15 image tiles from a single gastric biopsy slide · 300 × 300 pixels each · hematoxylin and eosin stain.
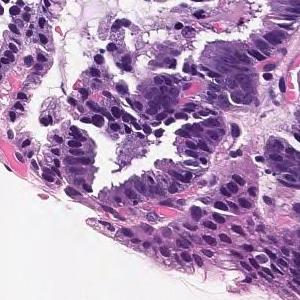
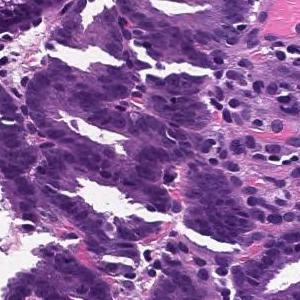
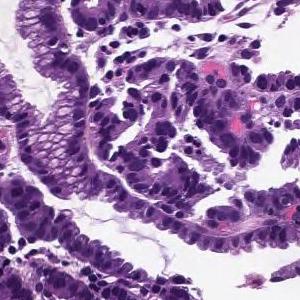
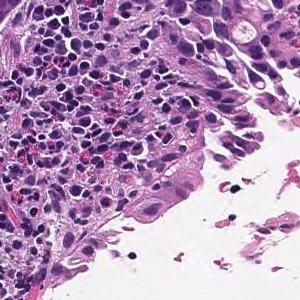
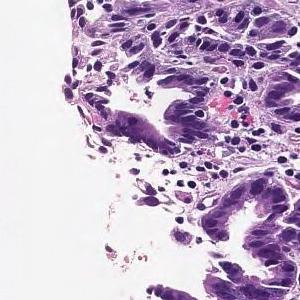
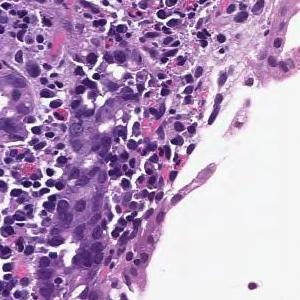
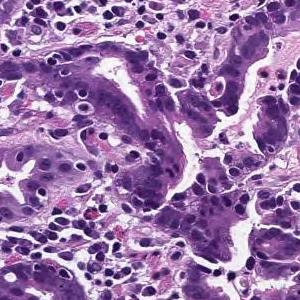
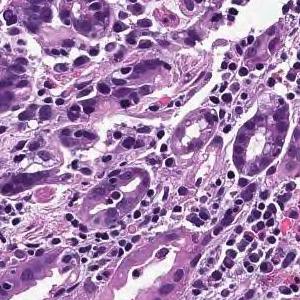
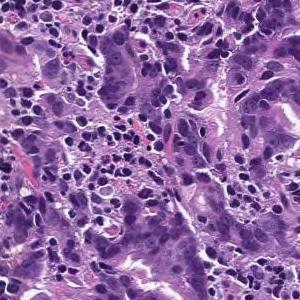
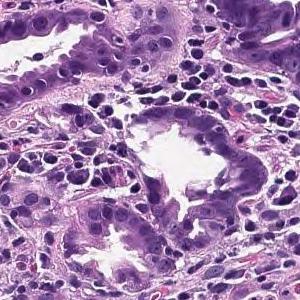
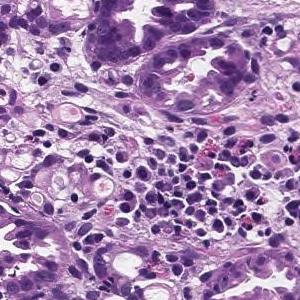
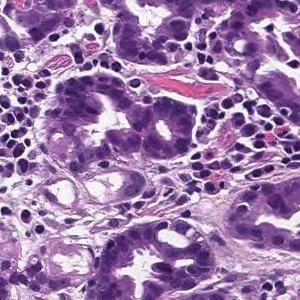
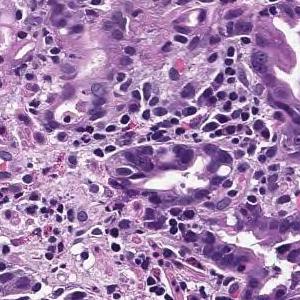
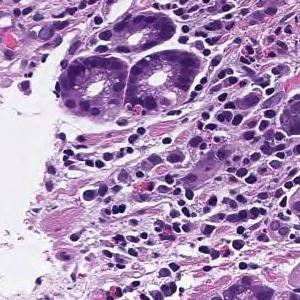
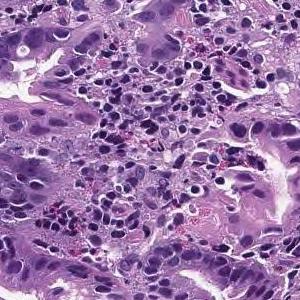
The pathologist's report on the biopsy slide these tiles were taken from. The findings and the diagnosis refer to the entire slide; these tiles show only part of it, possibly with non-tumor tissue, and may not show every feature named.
In the superficial epithelium, tumor tissue that invades by forming medium-sized to small, irregular ducts is observed. moderately differentiated tubular adenocarcinoma.
